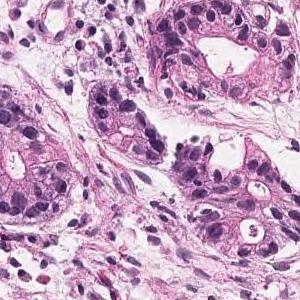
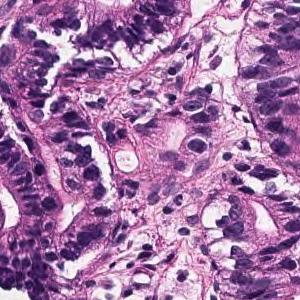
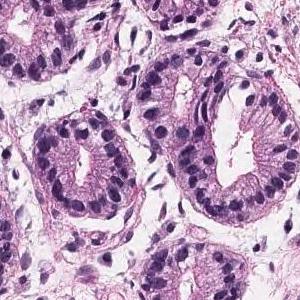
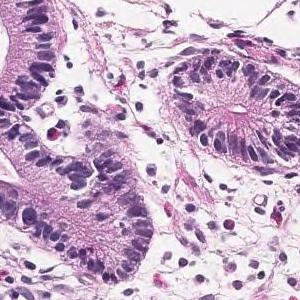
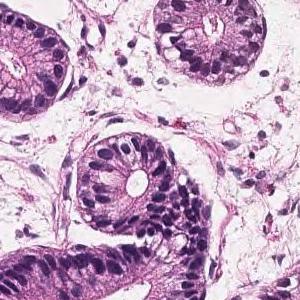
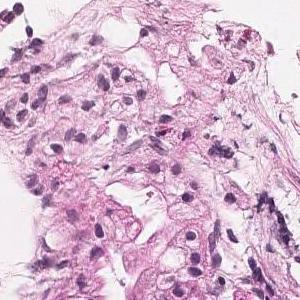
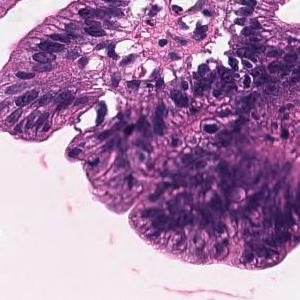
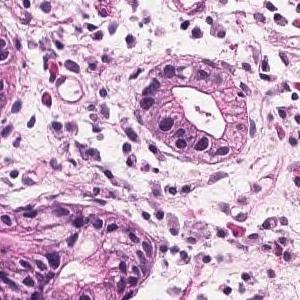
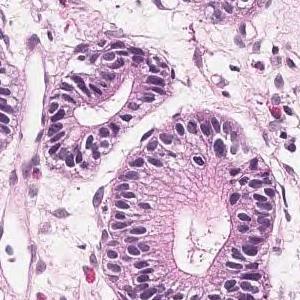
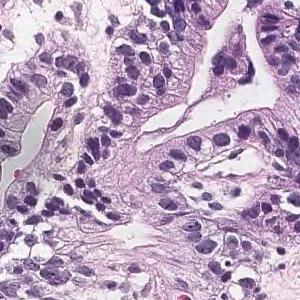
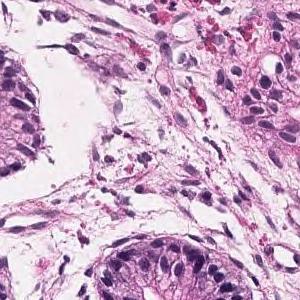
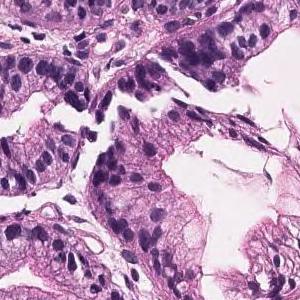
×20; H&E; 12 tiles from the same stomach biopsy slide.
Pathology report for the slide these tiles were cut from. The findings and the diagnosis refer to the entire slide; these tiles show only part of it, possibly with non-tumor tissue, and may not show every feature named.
Tumor tissue in which medium to small irregular ducts infiltrate and proliferate in the submucosa can be seen in the epithelium. Well differentiated tubular adenocarcinoma
